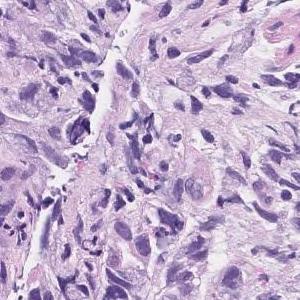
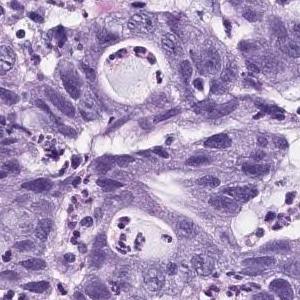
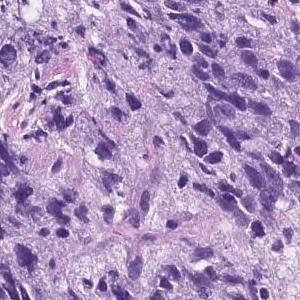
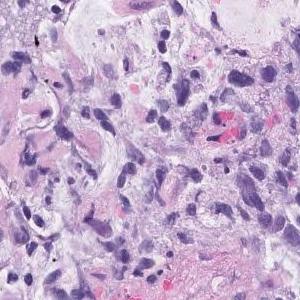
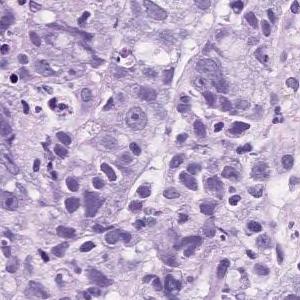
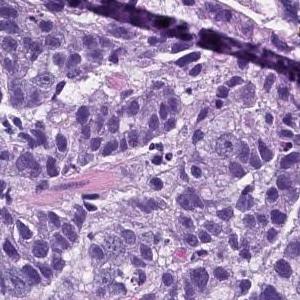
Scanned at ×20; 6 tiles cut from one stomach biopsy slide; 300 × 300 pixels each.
The pathologist's report on the biopsy slide these tiles were taken from. The report and the diagnosis cover the entire slide, so not every feature they name need be visible here, and some tissue shown may not be tumor.
Atypical l cells with atypical nuclei forming solid vesicles or small irregular atypical ducts that proliferate in a complex manner. poorly differentiated adenocarcinoma, solid type, moderately differentiated tubular adenocarcinoma
The term "solid type" comes from the Japanese Classification of Gastric Carcinoma; the WHO 2019 equivalent is tubular adenocarcinoma, poorly differentiated.
